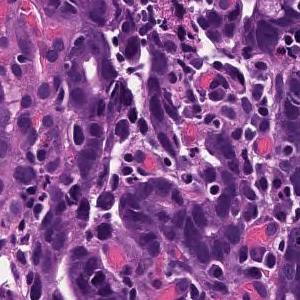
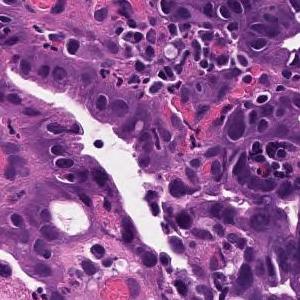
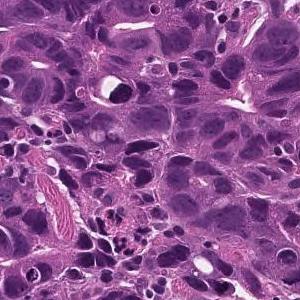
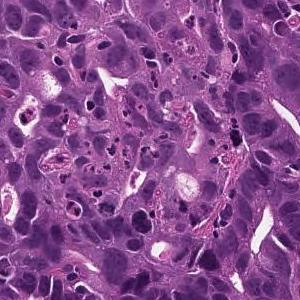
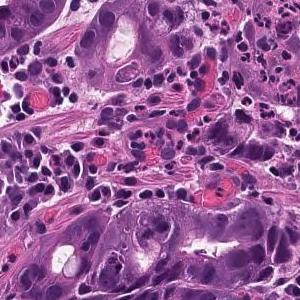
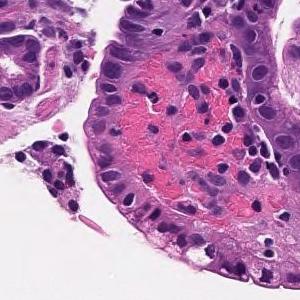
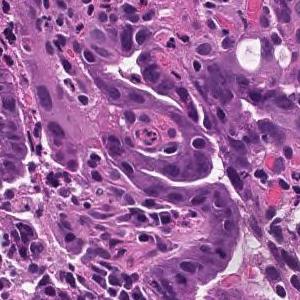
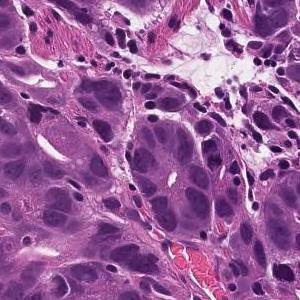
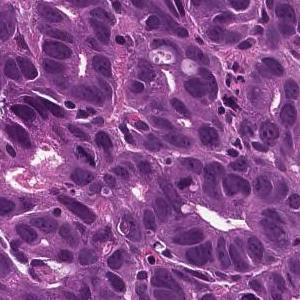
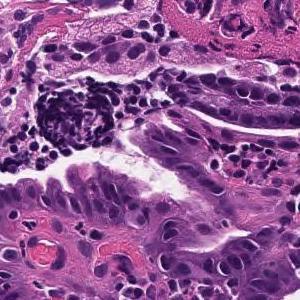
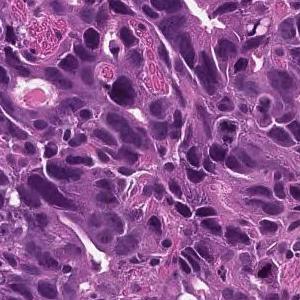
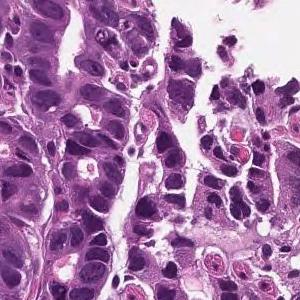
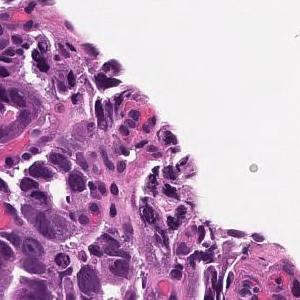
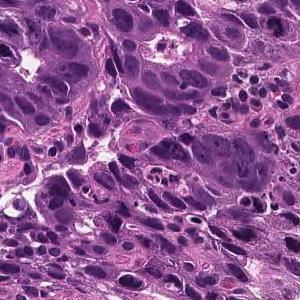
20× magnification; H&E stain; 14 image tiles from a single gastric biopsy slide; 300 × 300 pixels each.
Pathology report for the slide these tiles were cut from. The report and the diagnosis describe the slide as a whole, so these tiles may not show every feature named and may include non-tumor tissue.
On the superficial epithelium, tumor tissue is found in which medium-sized irregular gland ducts fuse with each other and infiltrate. moderately differentiated tubular adenocarcinoma
